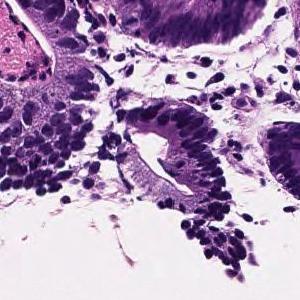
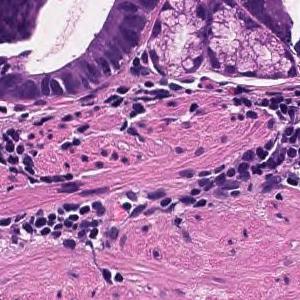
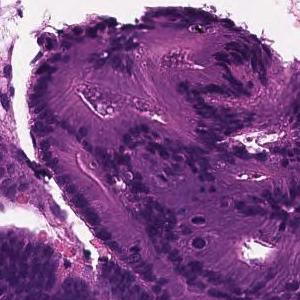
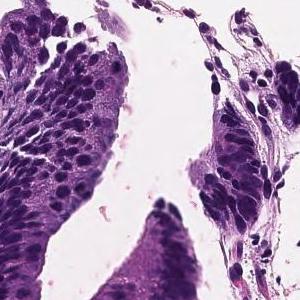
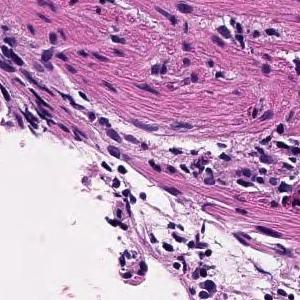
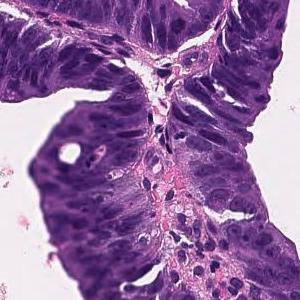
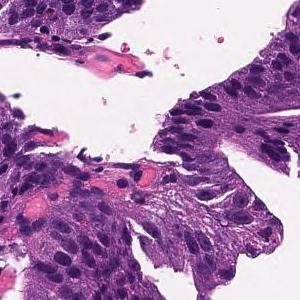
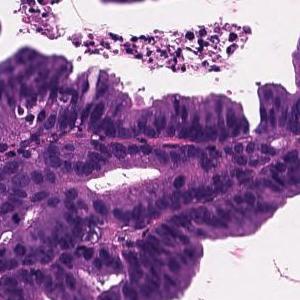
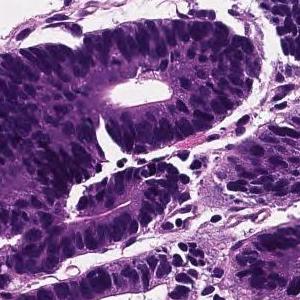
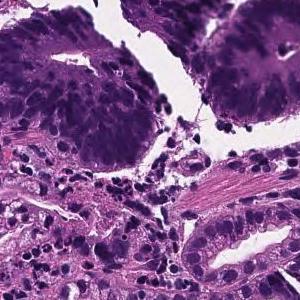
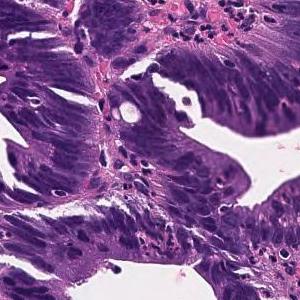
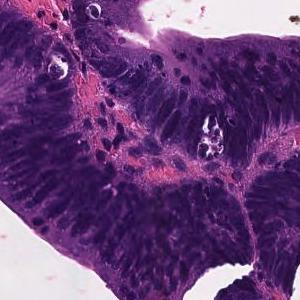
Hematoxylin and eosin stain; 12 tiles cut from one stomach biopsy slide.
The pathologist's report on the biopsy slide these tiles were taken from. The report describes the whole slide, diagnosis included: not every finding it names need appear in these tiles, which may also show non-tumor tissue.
Tumor tissue consisting of large papillary structures is found in the superficial epithelium. Papillary adenocarcinoma.
